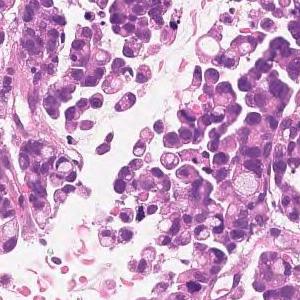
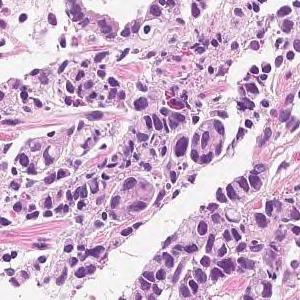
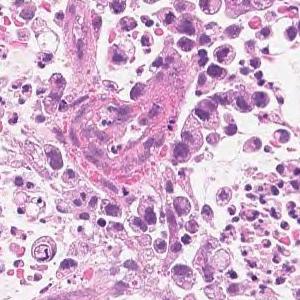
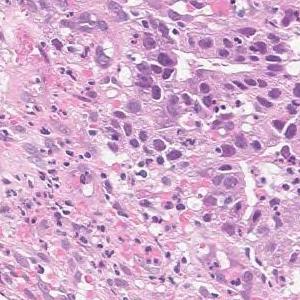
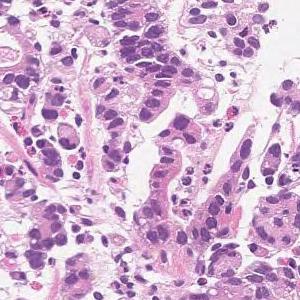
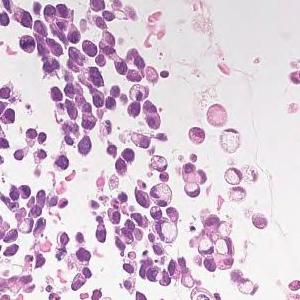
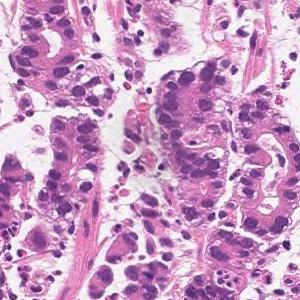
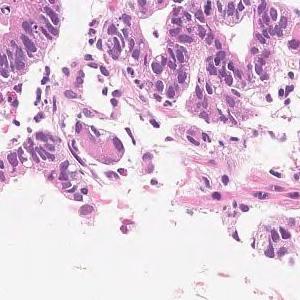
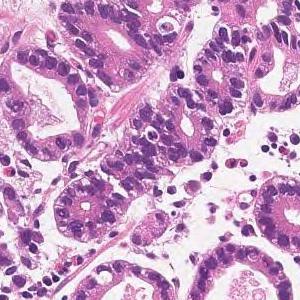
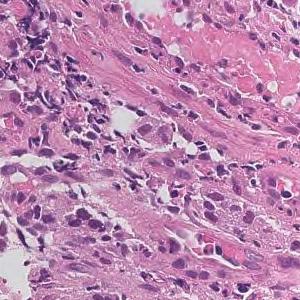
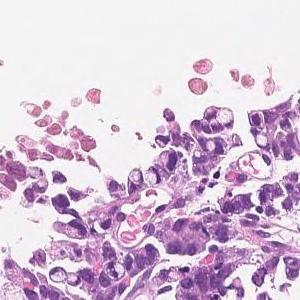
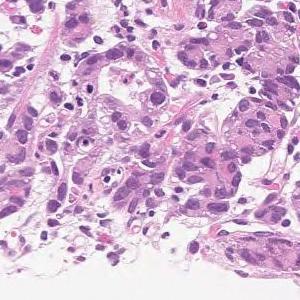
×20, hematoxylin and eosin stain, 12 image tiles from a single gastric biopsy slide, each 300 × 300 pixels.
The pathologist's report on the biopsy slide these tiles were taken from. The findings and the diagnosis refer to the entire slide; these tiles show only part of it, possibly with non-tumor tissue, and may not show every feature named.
Medium to small, irregular glandular ducts are formed in the superficial epithelium, and in some cases, the glandular ducts are fused to show solid alveolar lesions and infiltrating tumor tissue is observed. Moderately to poorly differentiated adenocarcinoma.
